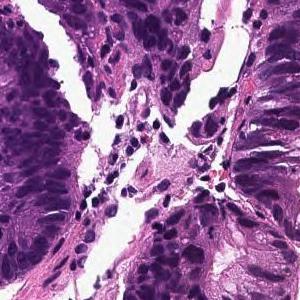
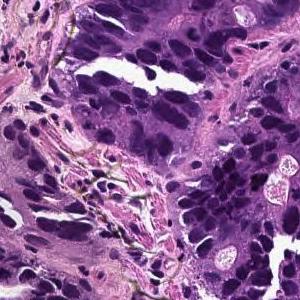
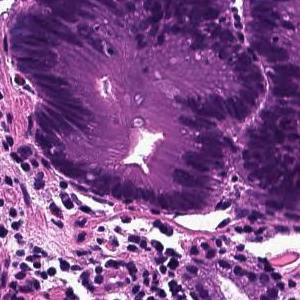
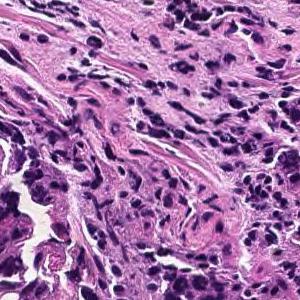
4 image tiles from a single gastric biopsy slide, each 300 × 300 pixels, ×20, H&E stain.
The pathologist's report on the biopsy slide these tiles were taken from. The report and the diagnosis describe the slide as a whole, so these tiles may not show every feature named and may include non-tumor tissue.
In the superficial epithelium, tumor tissue that invades by forming medium-sized to small, irregular ducts is observed. moderately differentiated tubular adenocarcinoma.
